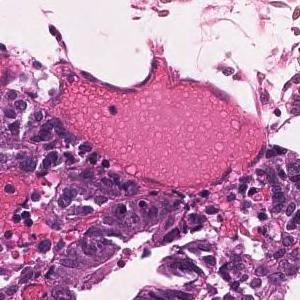
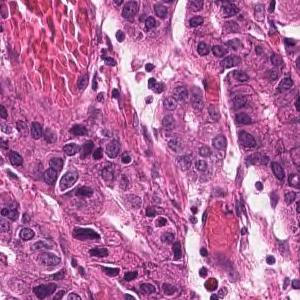
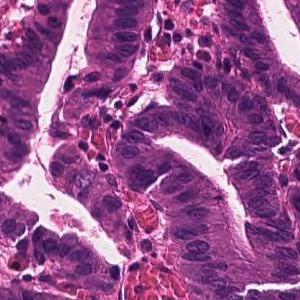
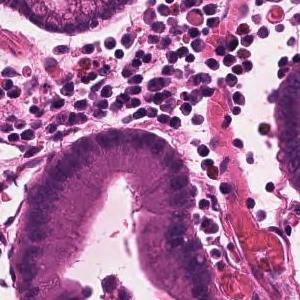
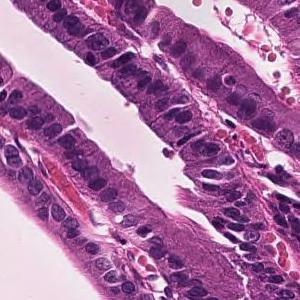
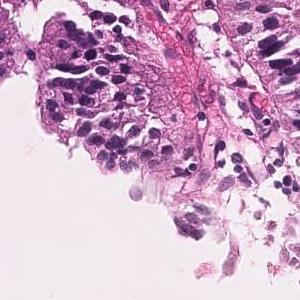
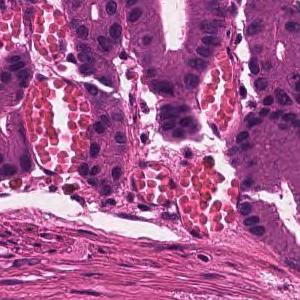
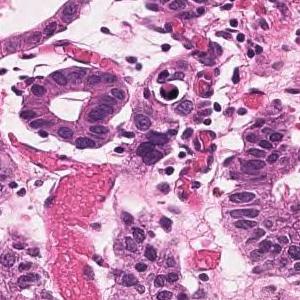
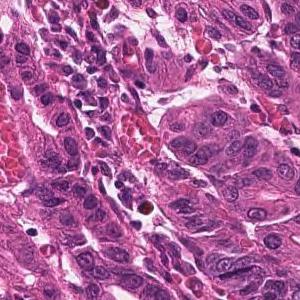
9 patches cut from one gastric biopsy slide · 300 × 300 pixels each · 20× magnification.
Pathology report for the slide these tiles were cut from. The report describes the whole slide, diagnosis included: not every finding it names need appear in these tiles, which may also show non-tumor tissue.
Infiltrating tumor tissue with medium-sized, irregular ductal structure or large papillary appearance is observed. Well differentiated tubular adenocarcinoma
